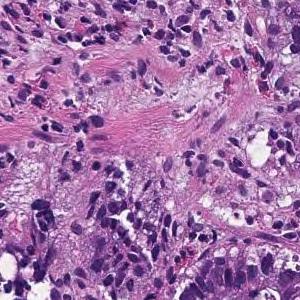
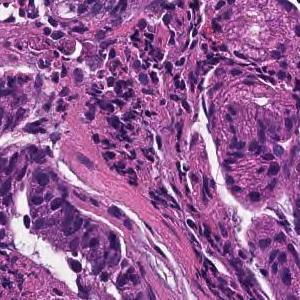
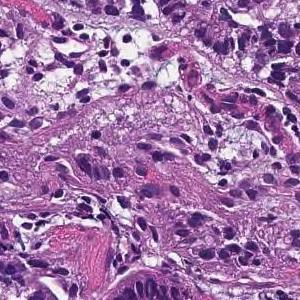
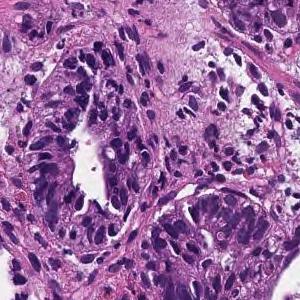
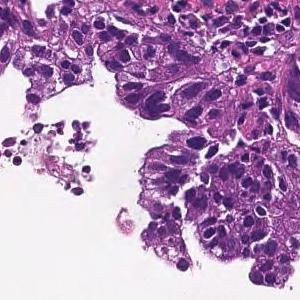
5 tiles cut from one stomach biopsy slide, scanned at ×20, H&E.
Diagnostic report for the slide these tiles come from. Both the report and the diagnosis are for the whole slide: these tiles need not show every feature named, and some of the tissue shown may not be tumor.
From the superficial epithelium to the muscularis mucosae, tumor tissue consisting of medium-sized and irregular glandular ducts infiltrating is observed. Well differentiated tubular adenocarcinoma
